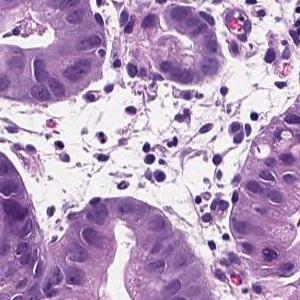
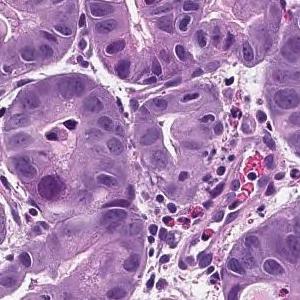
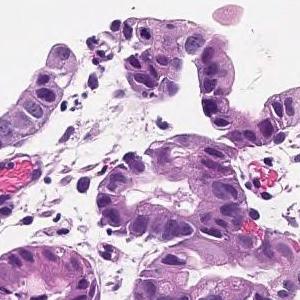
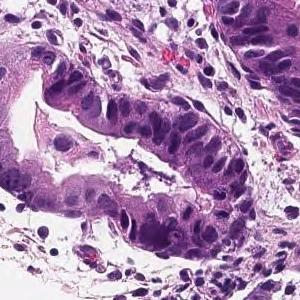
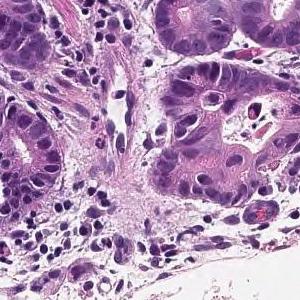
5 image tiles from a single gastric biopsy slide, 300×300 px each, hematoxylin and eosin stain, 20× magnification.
Report on the slide these tiles come from. What the report and the diagnosis say applies to the whole slide; these tiles may miss some of the features named and may include tissue that is not tumor.
On the superficial epithelium, tumor tissue that infiltrates by forming medium-sized papillary or small irregular ducts is observed. Papillary adenocarcinoma
